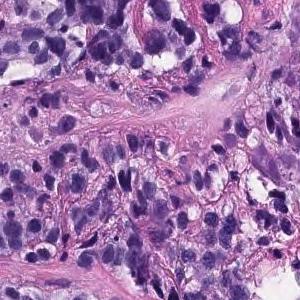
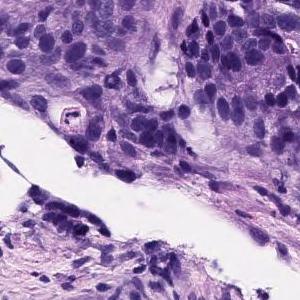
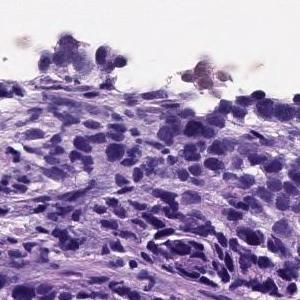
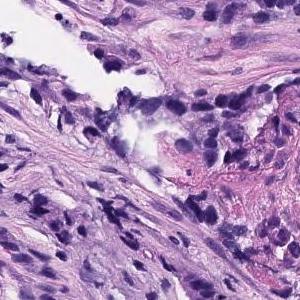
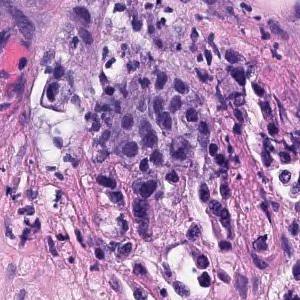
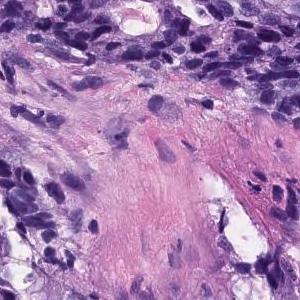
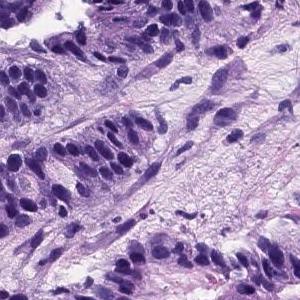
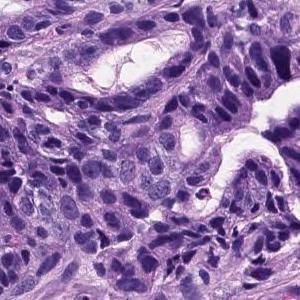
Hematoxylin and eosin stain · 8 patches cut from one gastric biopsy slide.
The pathologist's report on the biopsy slide these tiles were taken from. The findings and the diagnosis refer to the entire slide; these tiles show only part of it, possibly with non-tumor tissue, and may not show every feature named.
In the superficial epithelium, tumor tissue that invades by forming medium-sized to small, irregular ducts is observed. Tumor cells are columnar or cuboidal in shape. Moderately differentiated adenocarcinoma.
Histologic type: Moderately differentiated tubular adenocarcinoma.
